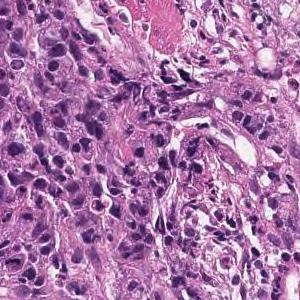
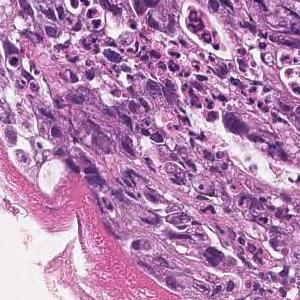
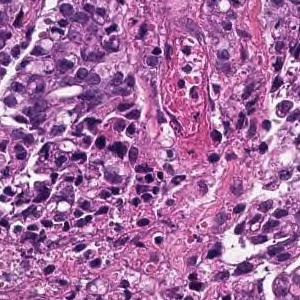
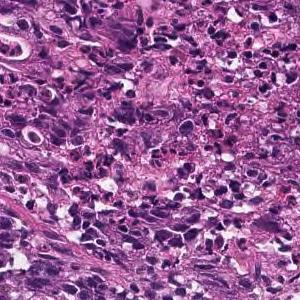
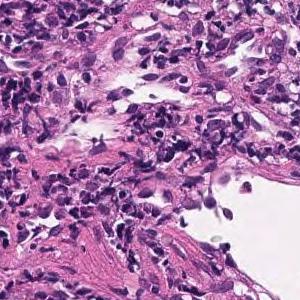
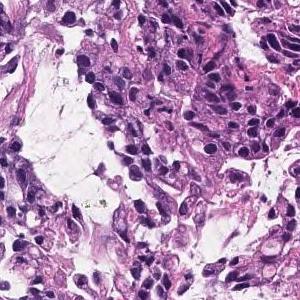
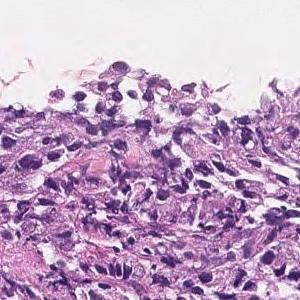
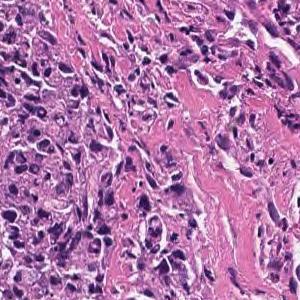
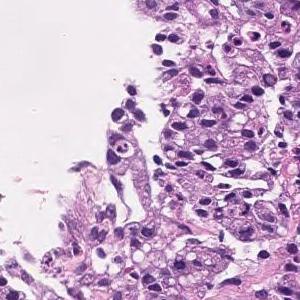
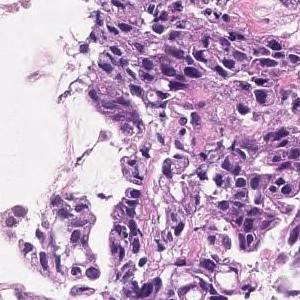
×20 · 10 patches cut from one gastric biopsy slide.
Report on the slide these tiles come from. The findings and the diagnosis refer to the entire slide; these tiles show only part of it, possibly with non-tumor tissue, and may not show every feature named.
Medium to small, irregular glandular ducts are formed in the superficial epithelium, and in some cases, the glandular ducts are fused to show solid alveolar lesions and infiltrating tumor tissue is observed. Moderately to poorly differentiated adenocarcinoma.
